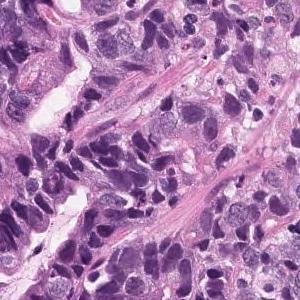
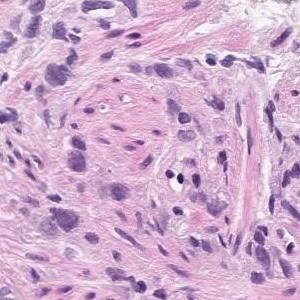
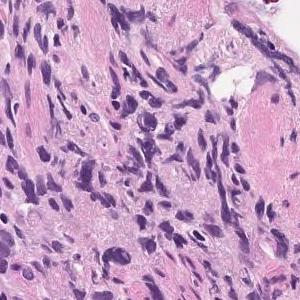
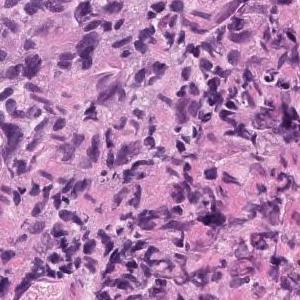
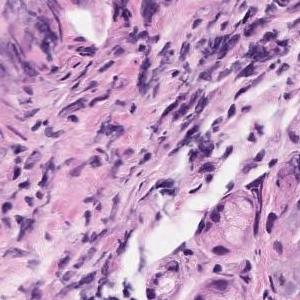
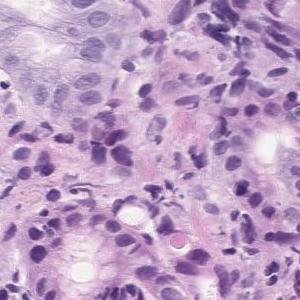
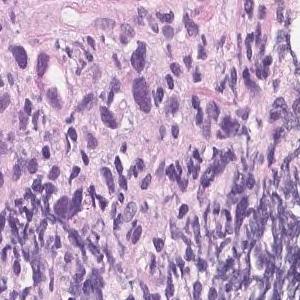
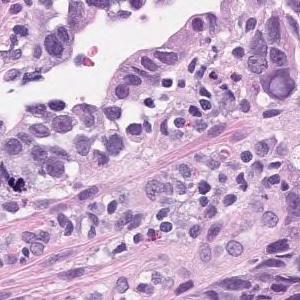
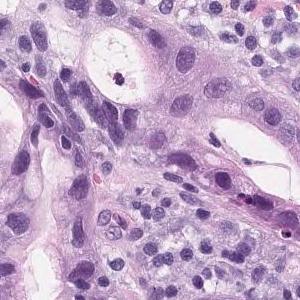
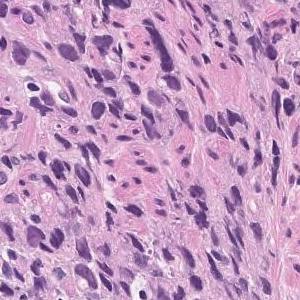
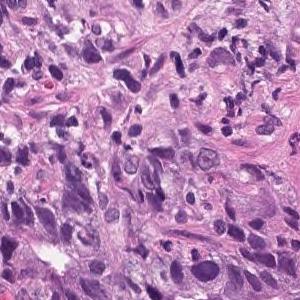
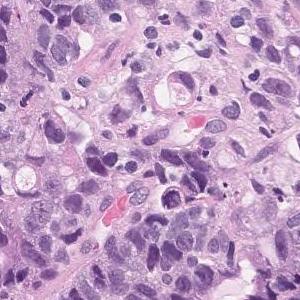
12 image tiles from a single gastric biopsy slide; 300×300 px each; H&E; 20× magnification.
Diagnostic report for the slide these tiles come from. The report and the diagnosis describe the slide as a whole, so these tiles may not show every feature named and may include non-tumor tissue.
Tumor tissue consisting of medium-sized, cord-like or irregular glandular infiltration is observed in the superficial epithelium. Poorly differentiated adenocarcinoma, non-solid type or moderately differentiated tubular adenocarcinoma
The dataset labels this slide poorly differentiated adenocarcinoma, non-solid type.
The non-solid type named here is a Japanese Classification of Gastric Carcinoma category.
